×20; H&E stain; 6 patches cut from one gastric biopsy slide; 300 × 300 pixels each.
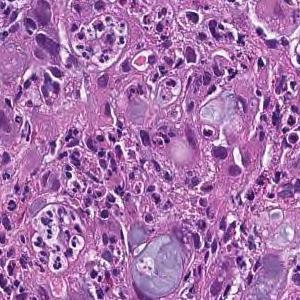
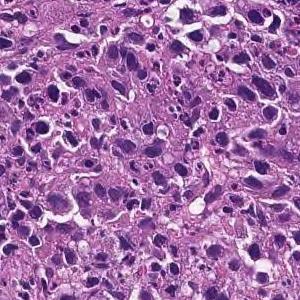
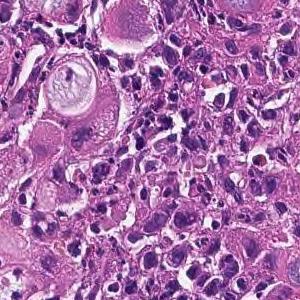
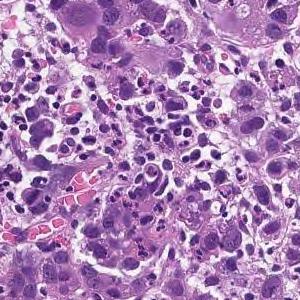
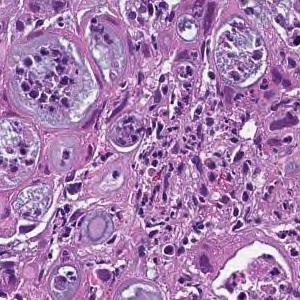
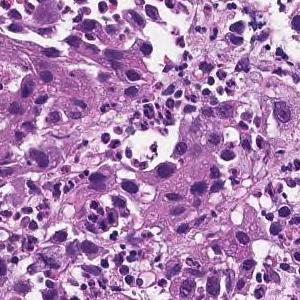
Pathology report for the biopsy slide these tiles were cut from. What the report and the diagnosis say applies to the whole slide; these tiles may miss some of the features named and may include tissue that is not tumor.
The superficial epithelium shows a large sheet-like shape, and some tumor tissue infiltrates with small irregular ducts. Poorly differentiated adenocarcinoma, solid-type
Classified as poorly differentiated adenocarcinoma, solid type, a category of the Japanese Classification of Gastric Carcinoma; in the WHO 2019 classification it is tubular adenocarcinoma, poorly differentiated.
